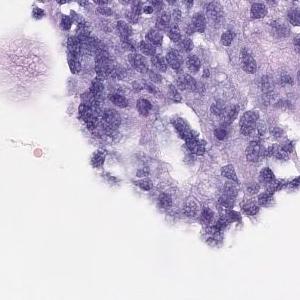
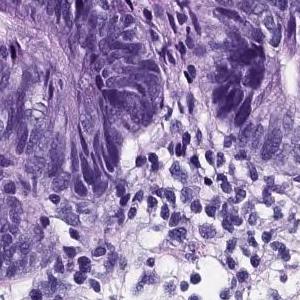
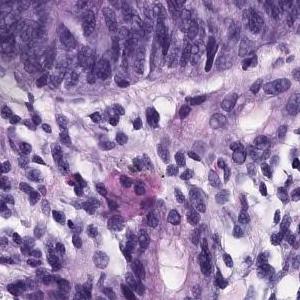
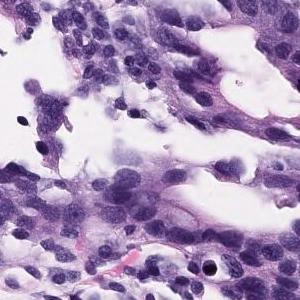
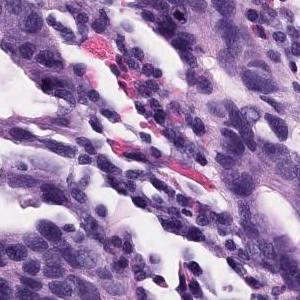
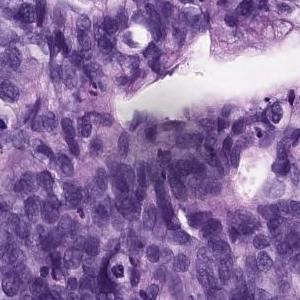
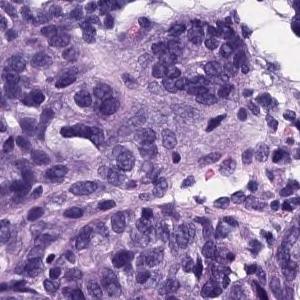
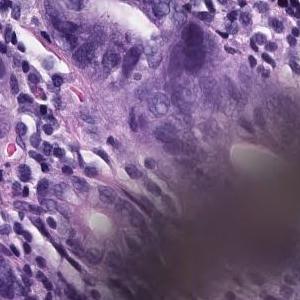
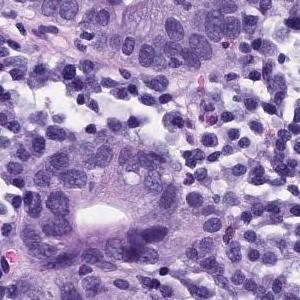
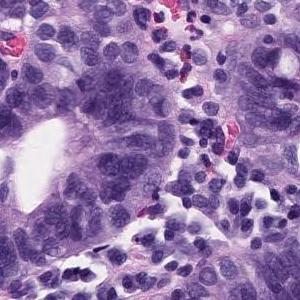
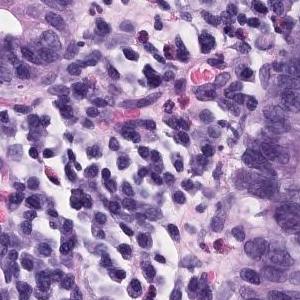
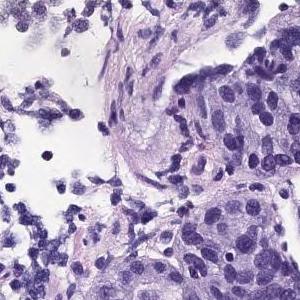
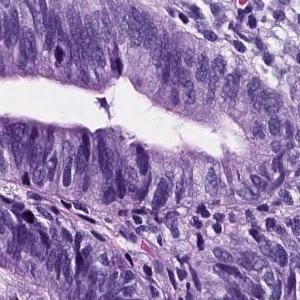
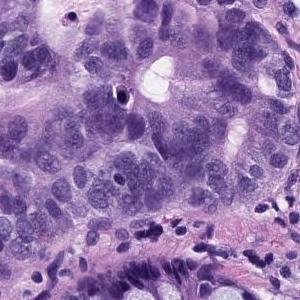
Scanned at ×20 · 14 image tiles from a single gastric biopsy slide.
Report on the slide these tiles come from. The report and the diagnosis describe the slide as a whole, so these tiles may not show every feature named and may include non-tumor tissue.
In the superficial epithelium, tumor tissue that invades by forming medium-sized to small, irregular ducts is observed. Moderately differentiated adenocarcinoma.
Histological subtype: Moderately differentiated tubular adenocarcinoma.
